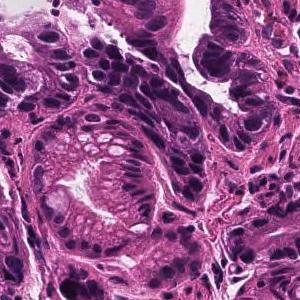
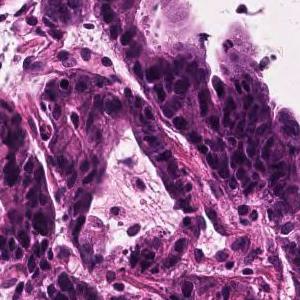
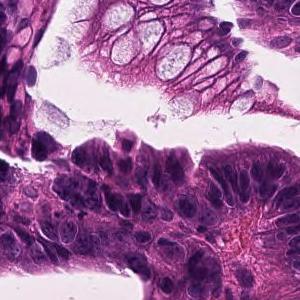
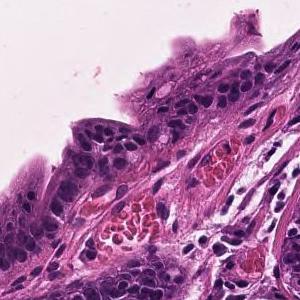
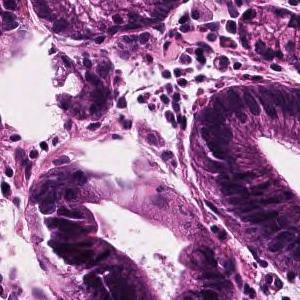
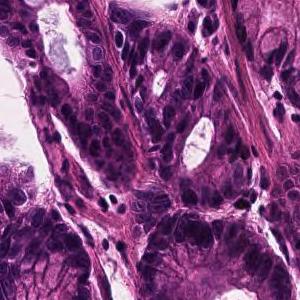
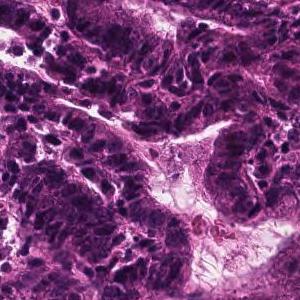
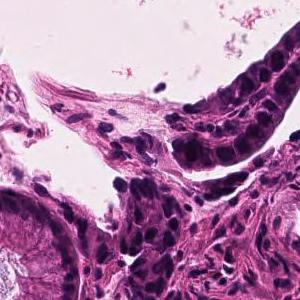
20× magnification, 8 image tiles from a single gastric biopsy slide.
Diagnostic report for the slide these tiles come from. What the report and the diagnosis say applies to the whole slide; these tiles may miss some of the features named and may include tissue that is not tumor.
In the superficial epithelium, tumor tissue that invades by forming medium-sized to small, irregular ducts is observed. Well differentiated tubular adenocarcinoma.
